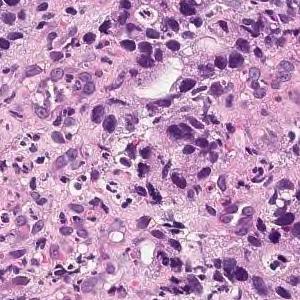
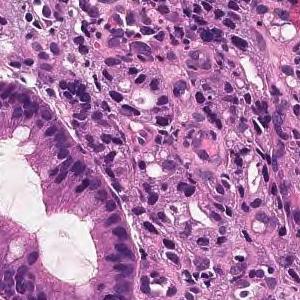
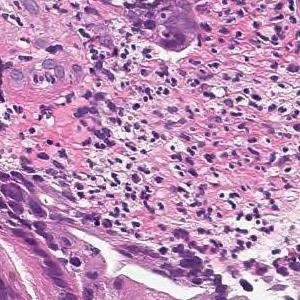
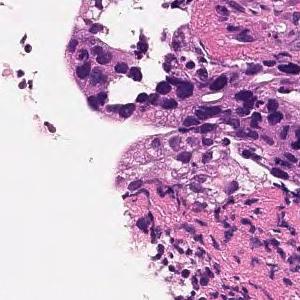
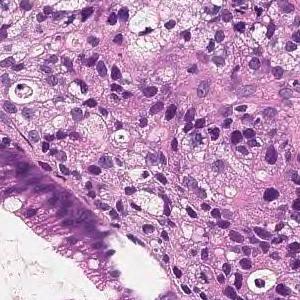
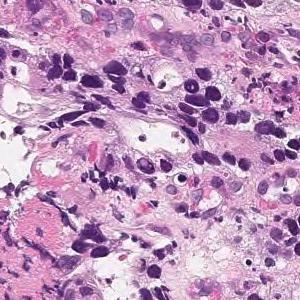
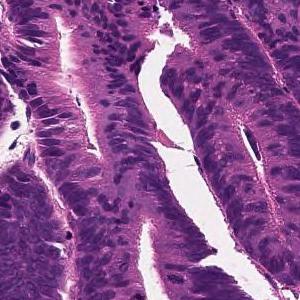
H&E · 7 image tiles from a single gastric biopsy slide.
Diagnostic report for the slide these tiles come from. The report describes the whole slide, diagnosis included: not every finding it names need appear in these tiles, which may also show non-tumor tissue.
In the superficial epithelium, medium to small irregular gland ducts are formed, and in some cases, the ducts are fused to show solid alveolar lesions and infiltrating tumor tissue is observed. moderately differentiated tubular adenocarcinoma or poorly differentiated adenocarcinoma, solid-type (poorly differentiated adenocarcinoma, solid type)
Labeled in the dataset as poorly differentiated adenocarcinoma, solid type. This name comes from the Japanese Classification of Gastric Carcinoma; the WHO 2019 classification calls it tubular adenocarcinoma, poorly differentiated.
